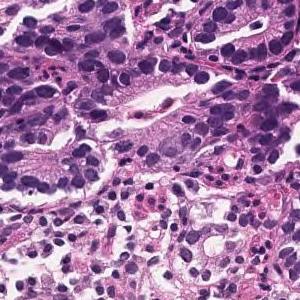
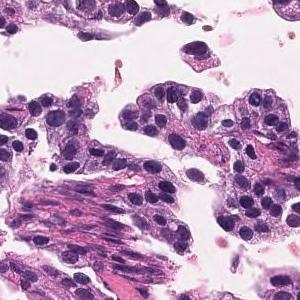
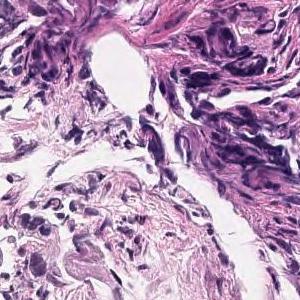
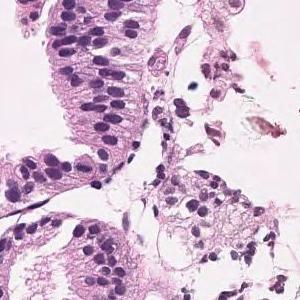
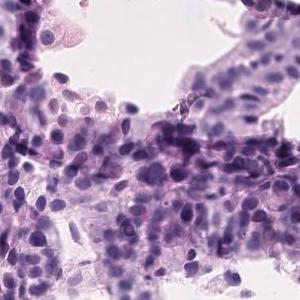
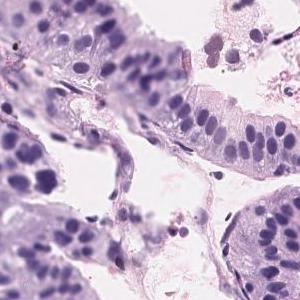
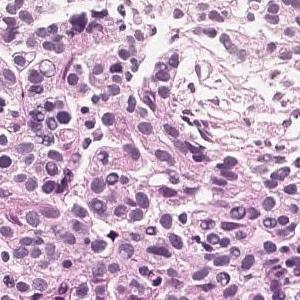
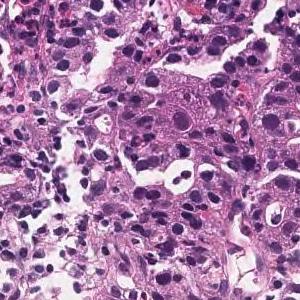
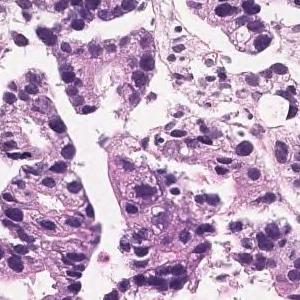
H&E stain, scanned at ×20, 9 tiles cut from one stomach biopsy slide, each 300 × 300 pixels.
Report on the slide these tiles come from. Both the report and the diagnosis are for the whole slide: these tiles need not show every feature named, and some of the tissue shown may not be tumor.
In the superficial epithelium, tumor tissue that invades by forming medium-sized to small, irregular ducts is observed. moderately differentiated tubular adenocarcinoma.
